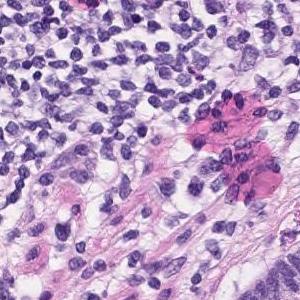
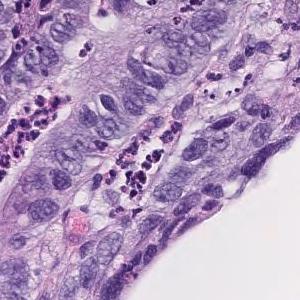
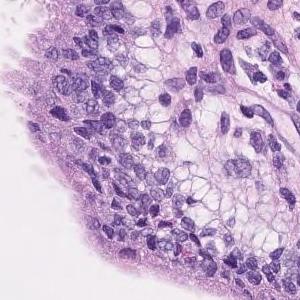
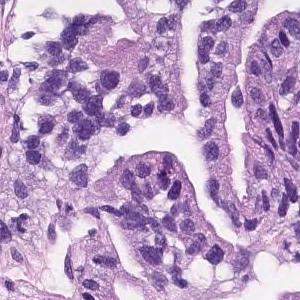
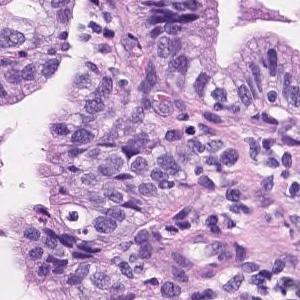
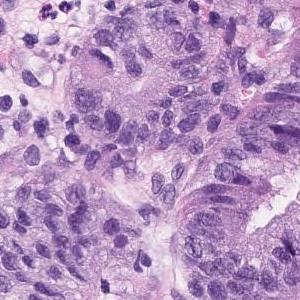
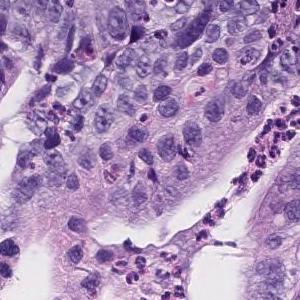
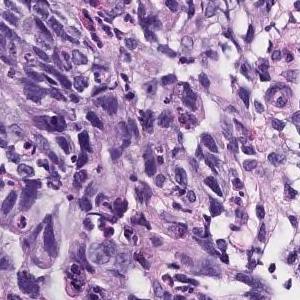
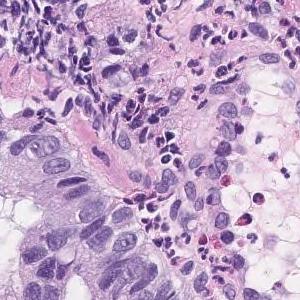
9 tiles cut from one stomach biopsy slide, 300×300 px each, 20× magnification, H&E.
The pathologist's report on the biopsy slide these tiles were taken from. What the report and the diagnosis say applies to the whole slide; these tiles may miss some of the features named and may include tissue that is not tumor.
Tumor cells are large, highly columnar, large club-shaped nuclei, and are associated with chromatin aggregation. Papillary adenocarcinoma.
